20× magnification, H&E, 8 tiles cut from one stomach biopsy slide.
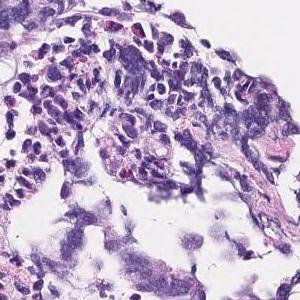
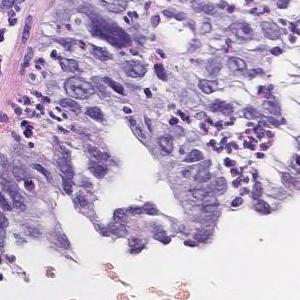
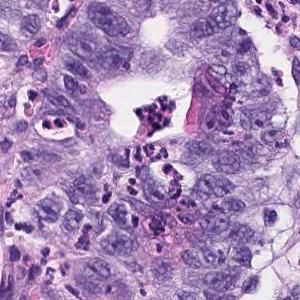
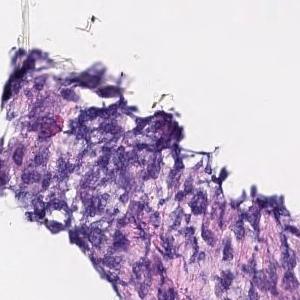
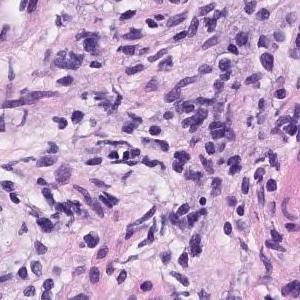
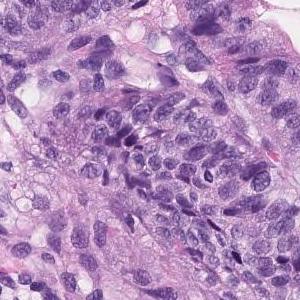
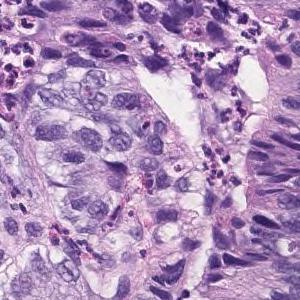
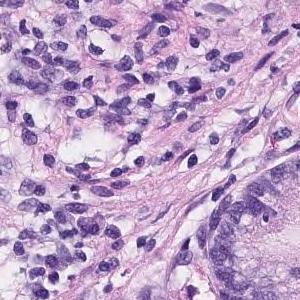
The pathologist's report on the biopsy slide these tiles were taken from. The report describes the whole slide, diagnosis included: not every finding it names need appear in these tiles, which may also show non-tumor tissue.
Tumor cells are large, highly columnar, large club-shaped nuclei, and are associated with chromatin aggregation. Papillary adenocarcinoma.
